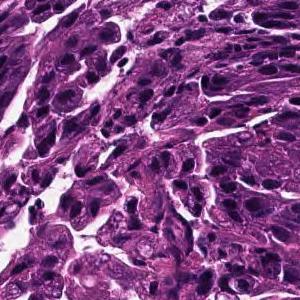
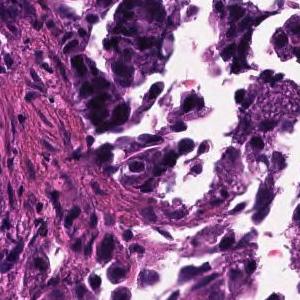
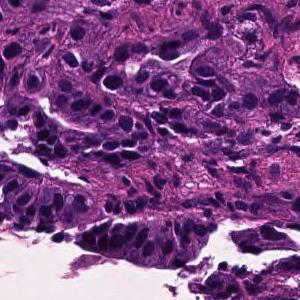
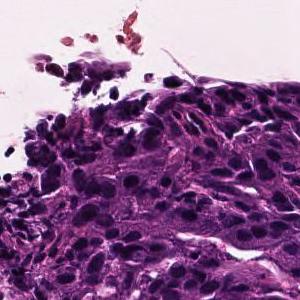
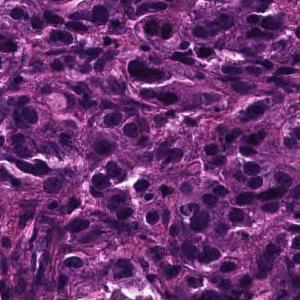
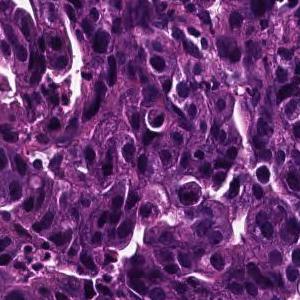
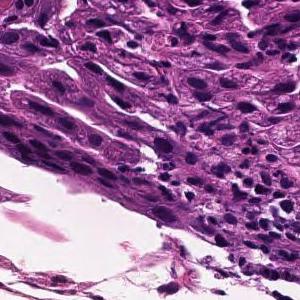
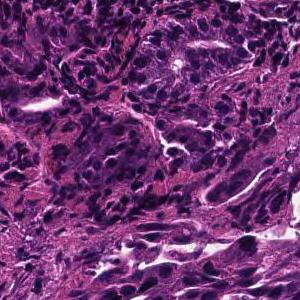
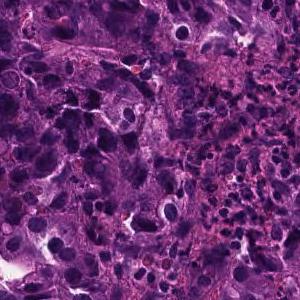
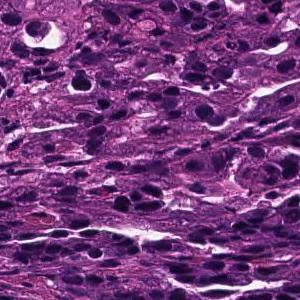
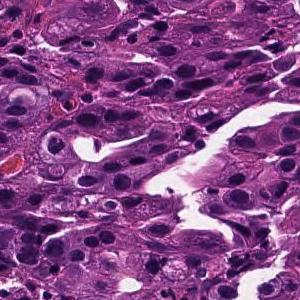
11 tiles from the same stomach biopsy slide, 300×300 px each, scanned at ×20, H&E.
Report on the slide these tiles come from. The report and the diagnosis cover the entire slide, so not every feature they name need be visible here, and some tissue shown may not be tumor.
Tumor tissue consisting of medium-sized, cord-like or irregular glandular fusion and infiltration is observed in the superficial epithelium. Poorly differentiated adenocarcinoma, non-solid type or moderately differentiated tubular adenocarcinoma
Histologic type: Moderately to poorly differentiated adenocarcinoma.
"Non-solid type" is a category of the Japanese Classification of Gastric Carcinoma.
